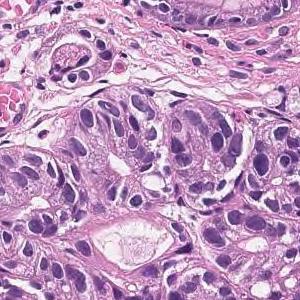
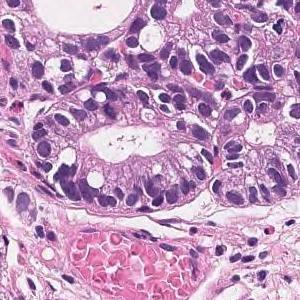
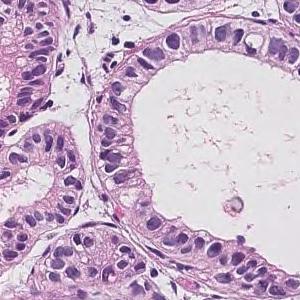
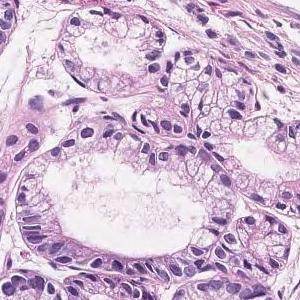
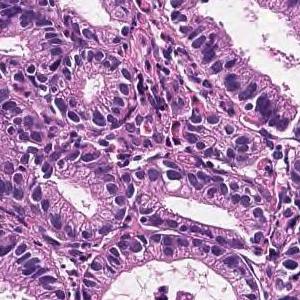
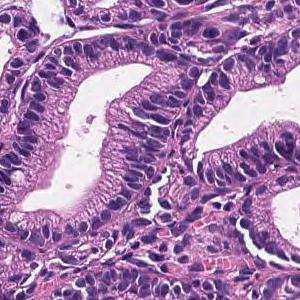
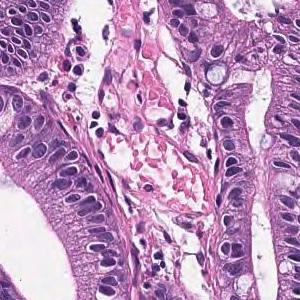
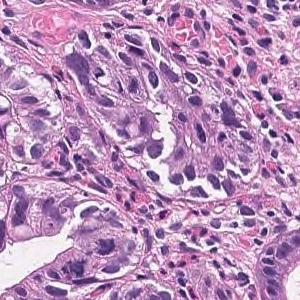
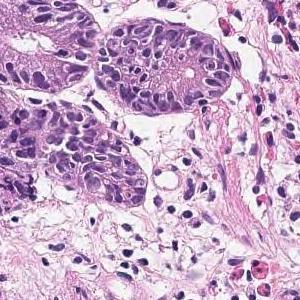
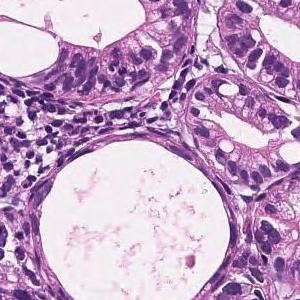
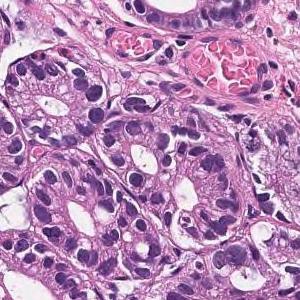
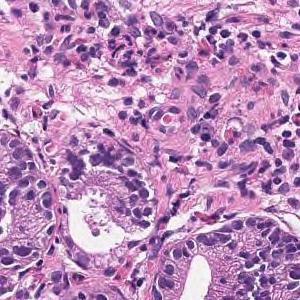
12 image tiles from a single gastric biopsy slide · 300×300 px each · scanned at ×20 · H&E stain.
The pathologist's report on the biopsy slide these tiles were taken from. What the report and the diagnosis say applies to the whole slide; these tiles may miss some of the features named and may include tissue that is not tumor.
In the superficial epithelium, tumor tissue that invades by forming medium-sized to small, irregular ducts is observed. Well differentiated tubular adenocarcinoma.
